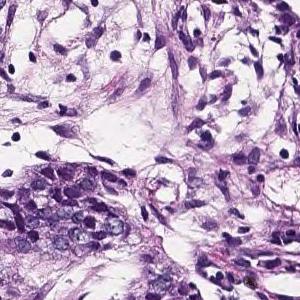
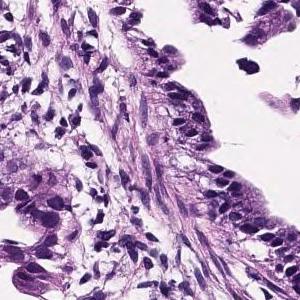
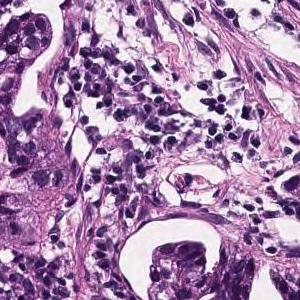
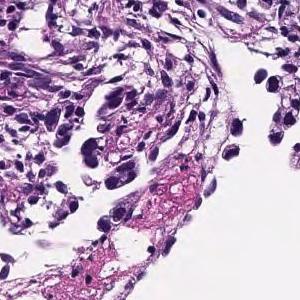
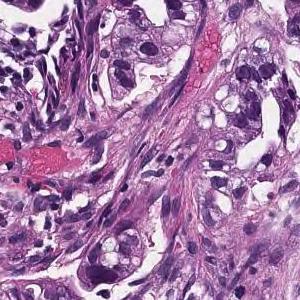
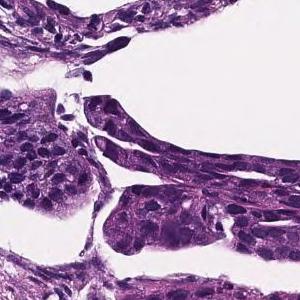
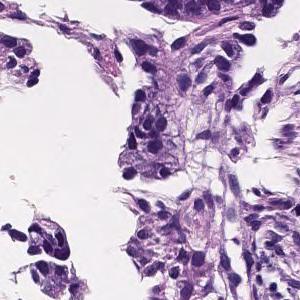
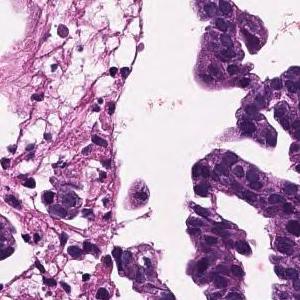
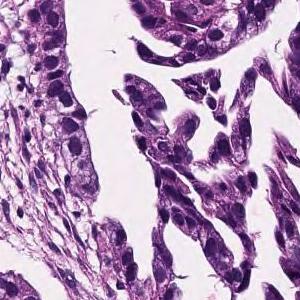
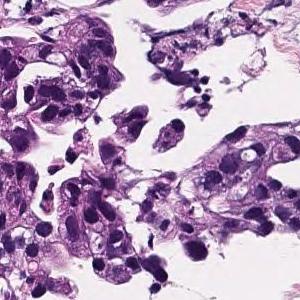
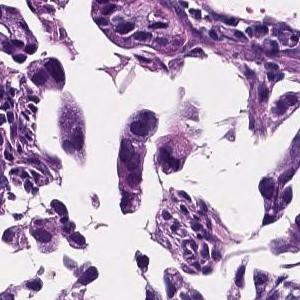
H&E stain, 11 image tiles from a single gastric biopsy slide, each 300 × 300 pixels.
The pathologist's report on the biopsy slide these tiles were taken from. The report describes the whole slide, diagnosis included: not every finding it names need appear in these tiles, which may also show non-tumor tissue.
In the lamina propria, tumor tissue that invades by forming medium-sized to small, irregular glandular ducts is observed. moderately differentiated tubular adenocarcinoma
